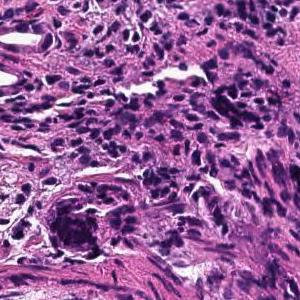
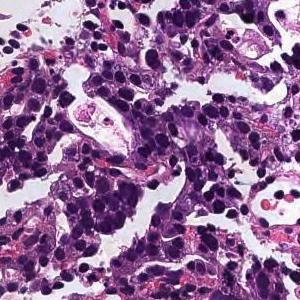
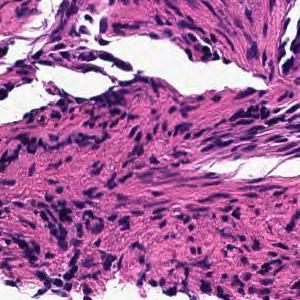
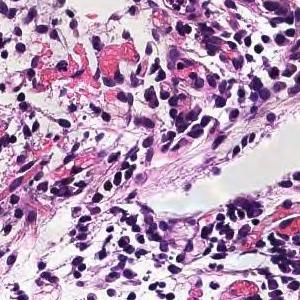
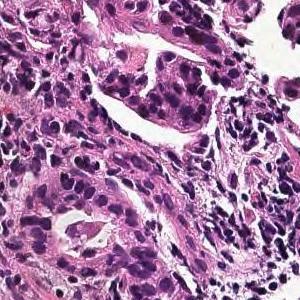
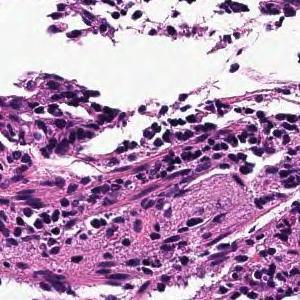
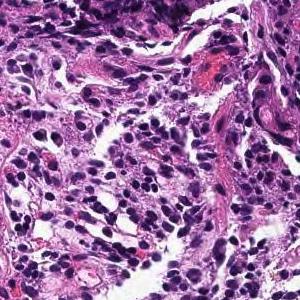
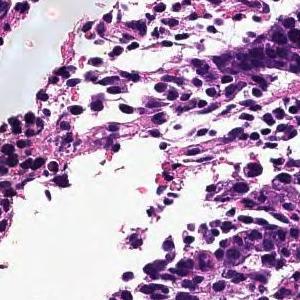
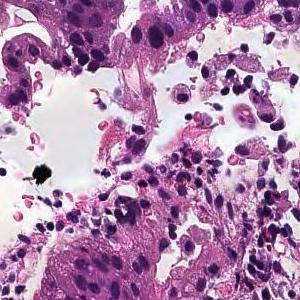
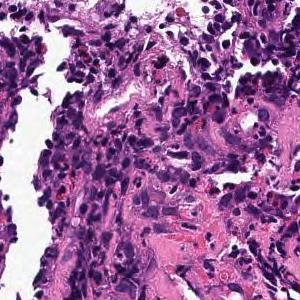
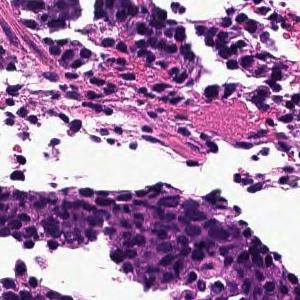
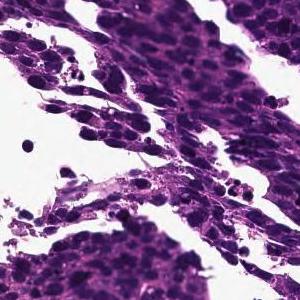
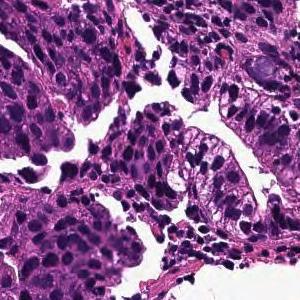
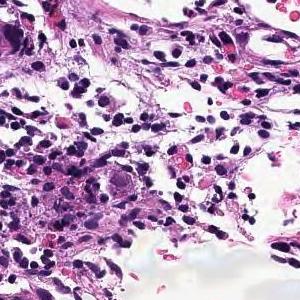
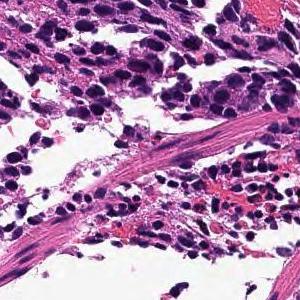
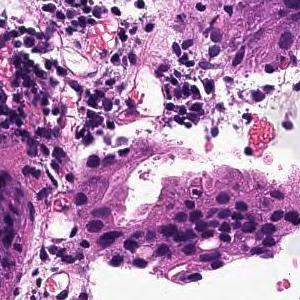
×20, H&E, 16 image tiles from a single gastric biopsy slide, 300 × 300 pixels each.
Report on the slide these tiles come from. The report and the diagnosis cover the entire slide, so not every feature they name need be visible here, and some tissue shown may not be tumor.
In the superficial epithelium, tumor tissue that invades by forming medium-sized to small, irregular ducts is observed. moderately differentiated tubular adenocarcinoma.
